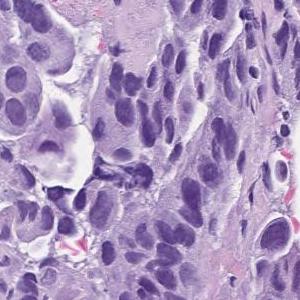
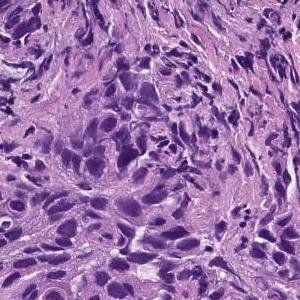
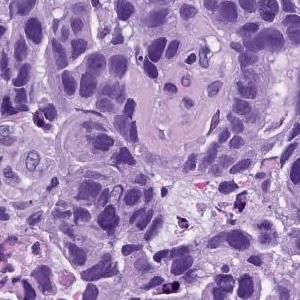
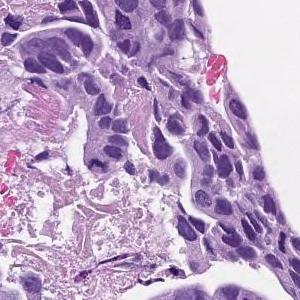
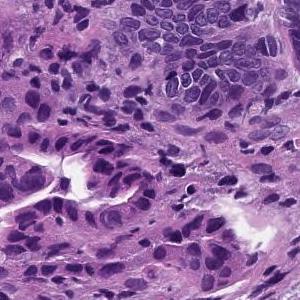
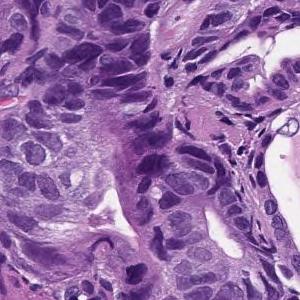
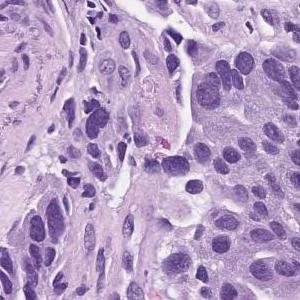
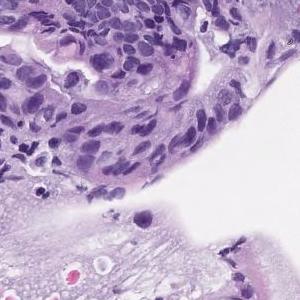
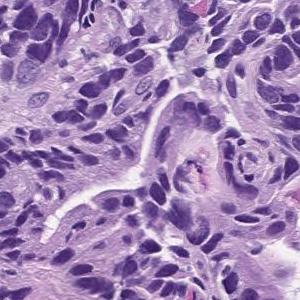
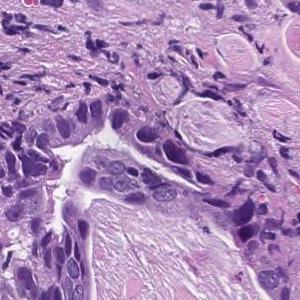
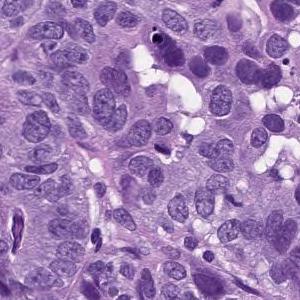
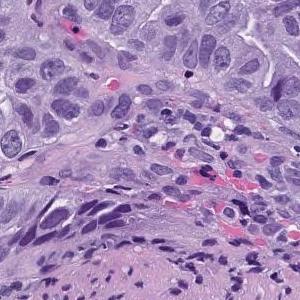
Scanned at ×20 · hematoxylin and eosin stain · 12 image tiles from a single gastric biopsy slide.
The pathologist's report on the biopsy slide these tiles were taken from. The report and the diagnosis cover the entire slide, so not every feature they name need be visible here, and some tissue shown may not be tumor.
In the superficial epithelium, tumor tissue that invades by forming medium-sized to small, irregular ducts is observed. moderately differentiated tubular adenocarcinoma.
